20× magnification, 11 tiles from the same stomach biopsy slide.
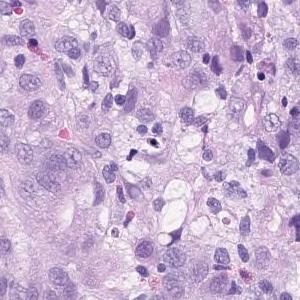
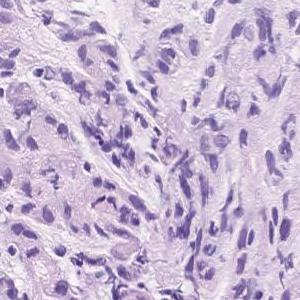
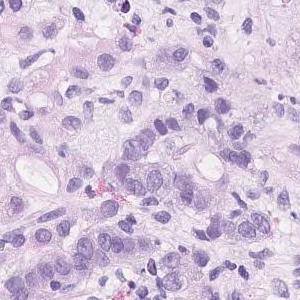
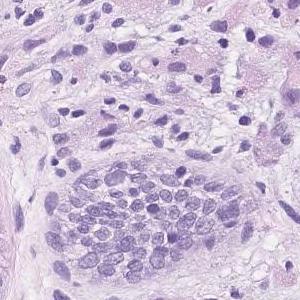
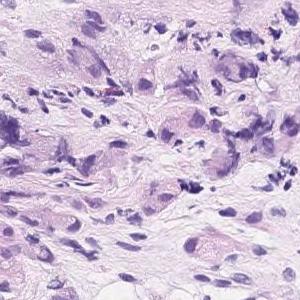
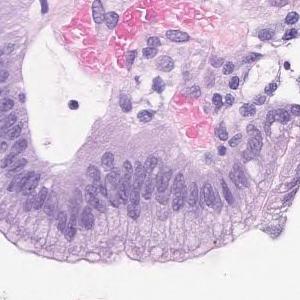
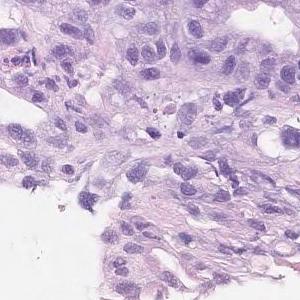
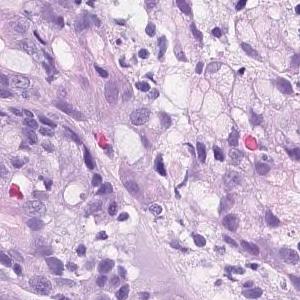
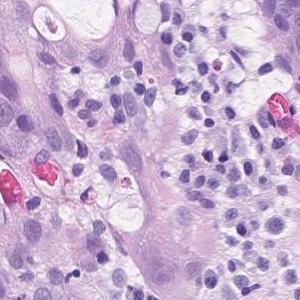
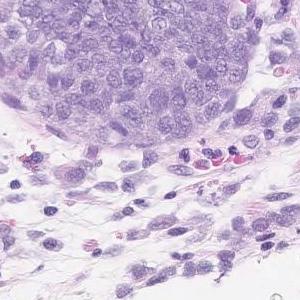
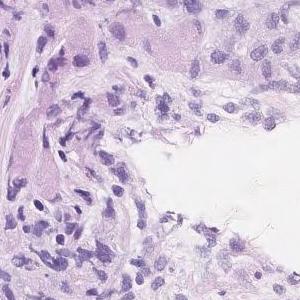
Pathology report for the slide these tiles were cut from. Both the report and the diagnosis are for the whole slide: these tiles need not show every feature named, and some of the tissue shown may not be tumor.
Group 5, Adenocarcinoma. Poorly differentiated adenocarcinoma, non-solid type
The term "non-solid type" comes from the Japanese Classification of Gastric Carcinoma.
